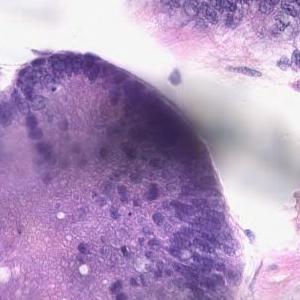
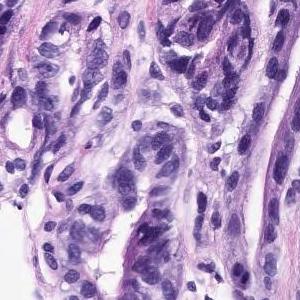
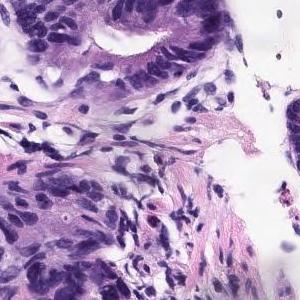
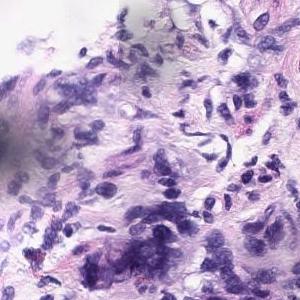
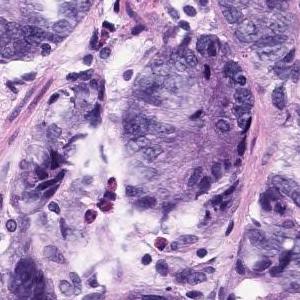
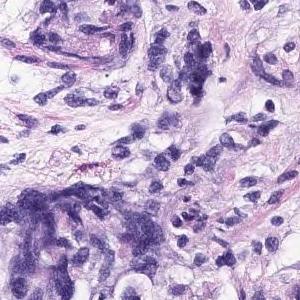
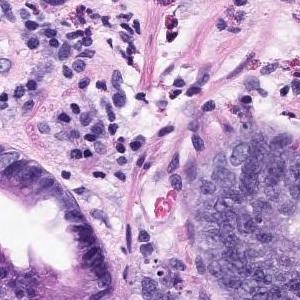
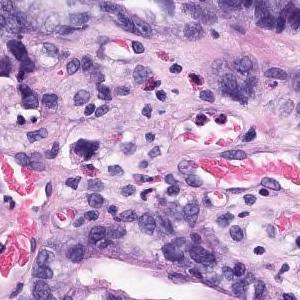
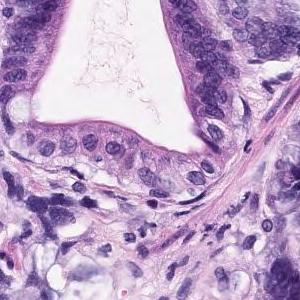
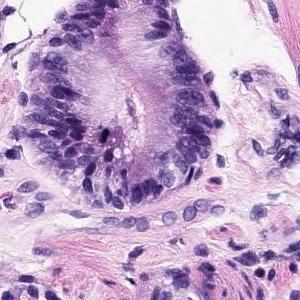
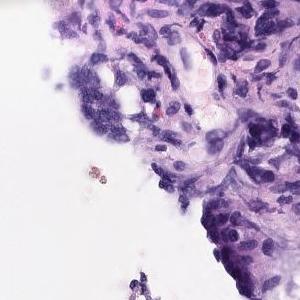
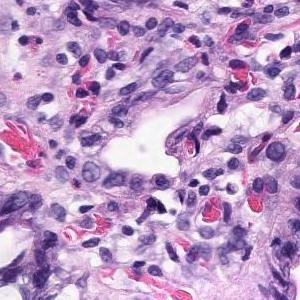
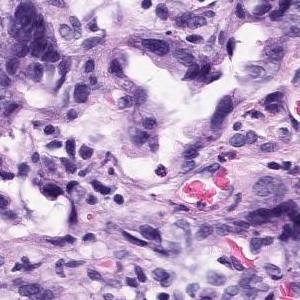
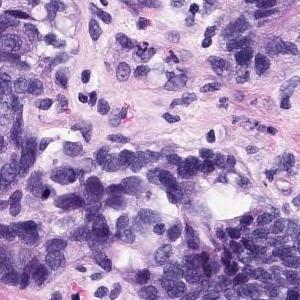
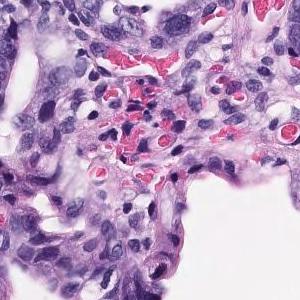
20× magnification · 15 patches cut from one gastric biopsy slide · each 300 × 300 pixels.
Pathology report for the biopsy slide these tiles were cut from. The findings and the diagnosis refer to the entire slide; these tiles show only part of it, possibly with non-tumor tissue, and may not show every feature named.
In the superficial epithelium, tumor tissue that invades by forming medium-sized to small, irregular ducts is observed. Moderately differentiated adenocarcinoma
Subtype: Moderately differentiated tubular adenocarcinoma.
